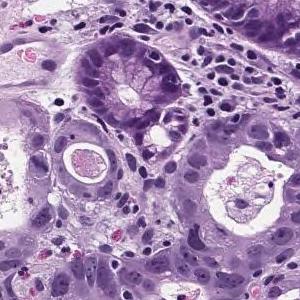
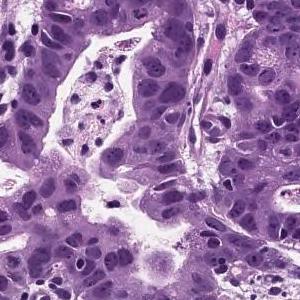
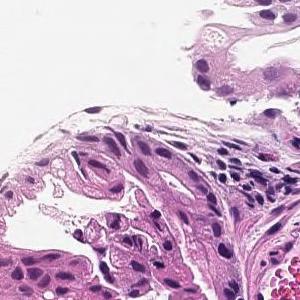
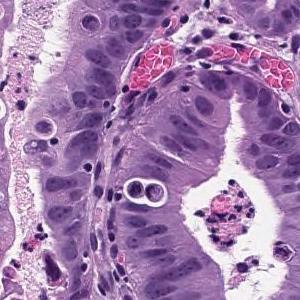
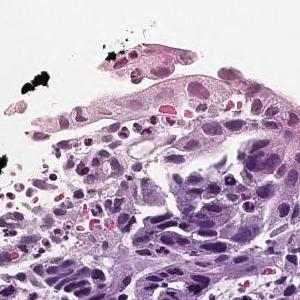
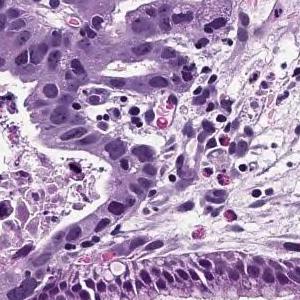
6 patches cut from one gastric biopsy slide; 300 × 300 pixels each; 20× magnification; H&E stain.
Pathology report for the biopsy slide these tiles were cut from. The report describes the whole slide, diagnosis included: not every finding it names need appear in these tiles, which may also show non-tumor tissue.
Tumor cells are large, highly columnar, large club-shaped nuclei, and are associated with chromatin aggregation. Papillary adenocarcinoma.
